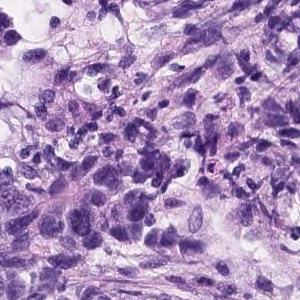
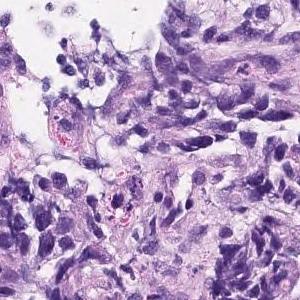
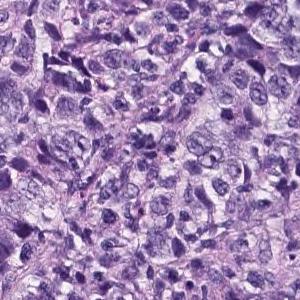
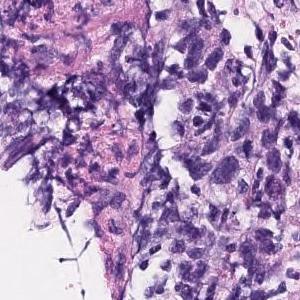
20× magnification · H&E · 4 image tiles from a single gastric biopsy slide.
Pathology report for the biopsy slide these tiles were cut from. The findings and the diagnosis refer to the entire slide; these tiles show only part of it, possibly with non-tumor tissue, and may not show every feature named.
The superficial epithelium shows a large sheet-like shape, and some tumor tissue infiltrates with small irregular ducts. Poorly differentiated adenocarcinoma, solid-type
Histological subtype: Poorly differentiated adenocarcinoma, solid type (Japanese Classification of Gastric Carcinoma). The WHO 2019 equivalent is tubular adenocarcinoma, poorly differentiated.
